Hematoxylin and eosin stain; 13 tiles cut from one stomach biopsy slide; each 300 × 300 pixels.
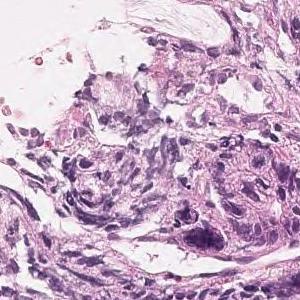
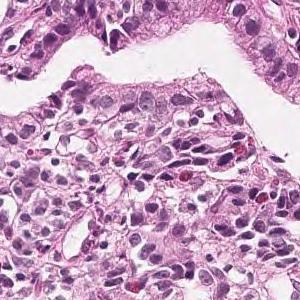
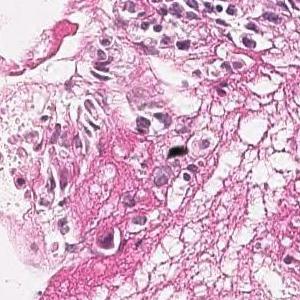
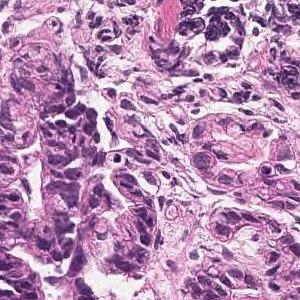
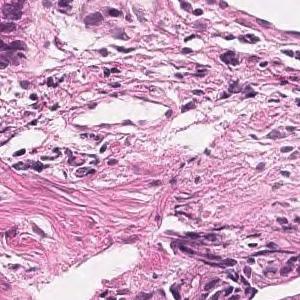
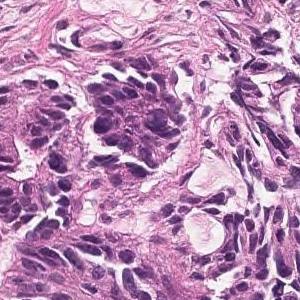
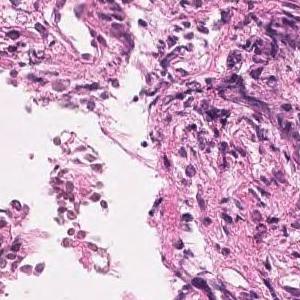
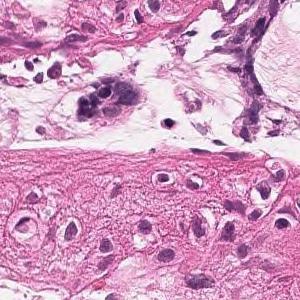
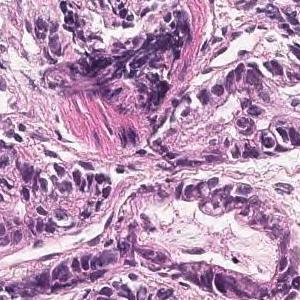
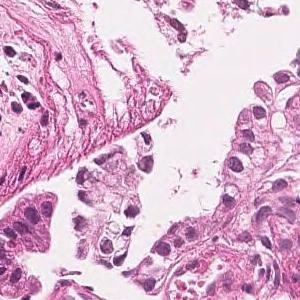
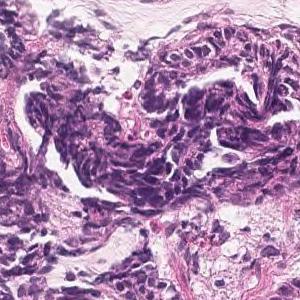
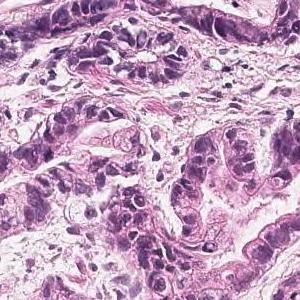
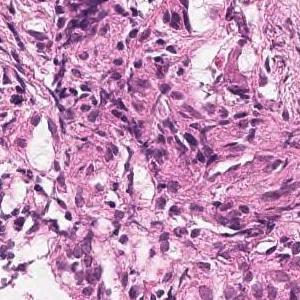
Pathology report for the biopsy slide these tiles were cut from. The findings and the diagnosis refer to the entire slide; these tiles show only part of it, possibly with non-tumor tissue, and may not show every feature named.
On the superficial epithelium, tumor tissue consisting of large, irregular glandular ducts partially fused and infiltrated is observed. Well to moderately differentiated tubular adenocarcinoma (well differentiated tubular adenocarcinoma, moderately differentiated tubular adenocarcinoma)
Histologic type: Well to moderately differentiated tubular adenocarcinoma.
